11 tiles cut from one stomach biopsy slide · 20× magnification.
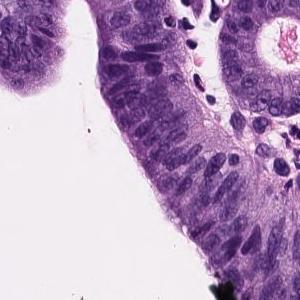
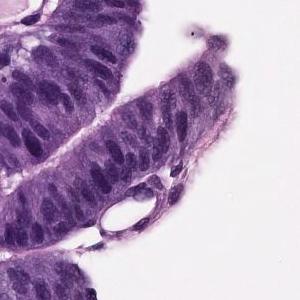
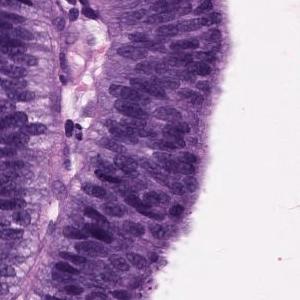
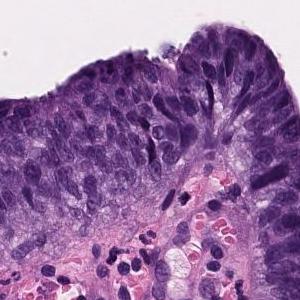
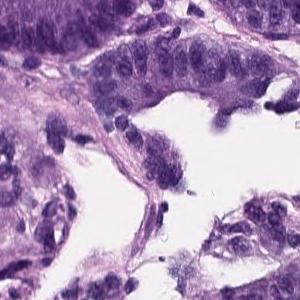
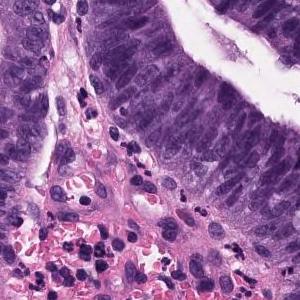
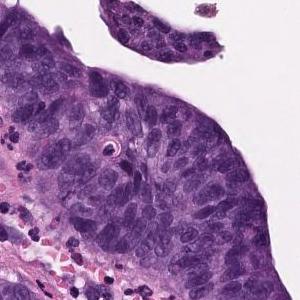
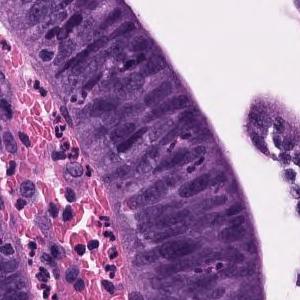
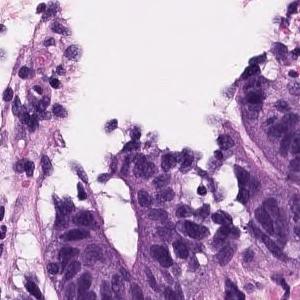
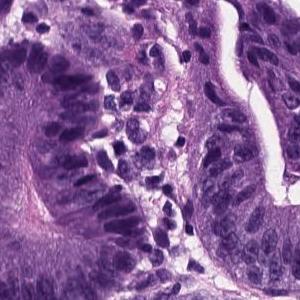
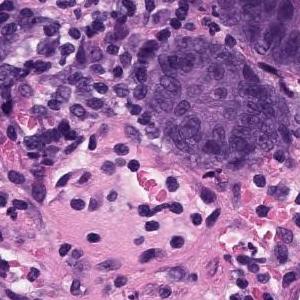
Report on the slide these tiles come from. The report and the diagnosis describe the slide as a whole, so these tiles may not show every feature named and may include non-tumor tissue.
Papillo-tubular growth of atypical tubules with nuclear swelling is observed. Well differentiated tubular adenocarcinoma
